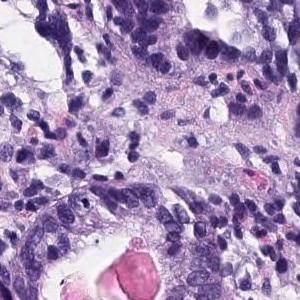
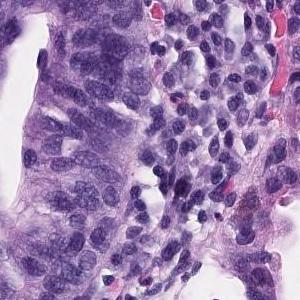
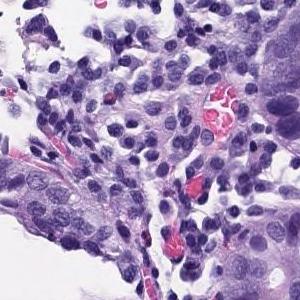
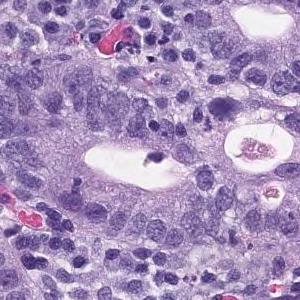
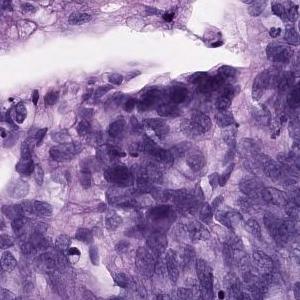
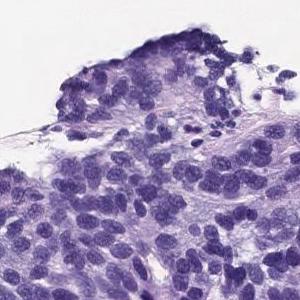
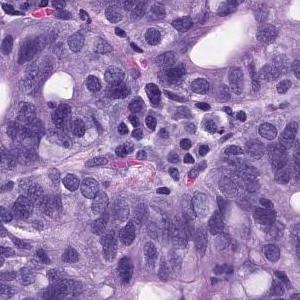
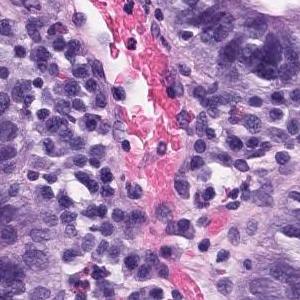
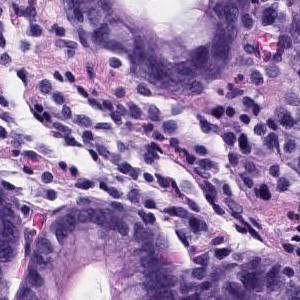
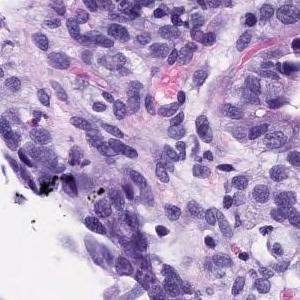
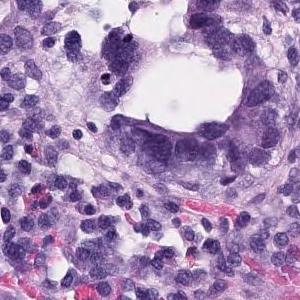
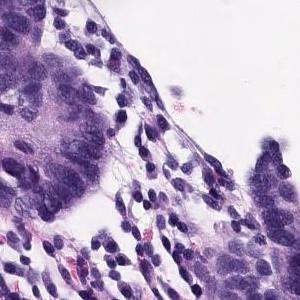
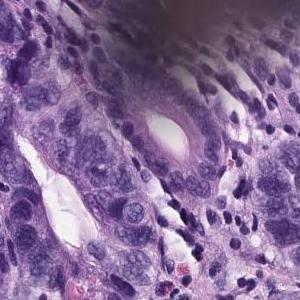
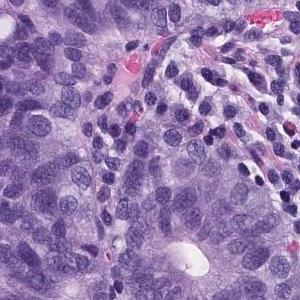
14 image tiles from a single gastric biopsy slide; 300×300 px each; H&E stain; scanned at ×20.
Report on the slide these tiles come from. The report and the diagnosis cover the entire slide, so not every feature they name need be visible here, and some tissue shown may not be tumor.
In the superficial epithelium, tumor tissue that invades by forming medium-sized to small, irregular ducts is observed. Moderately differentiated adenocarcinoma.
Histological subtype: Moderately differentiated tubular adenocarcinoma.
